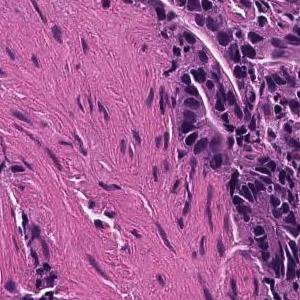
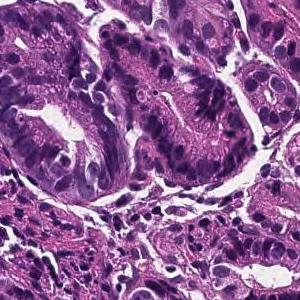
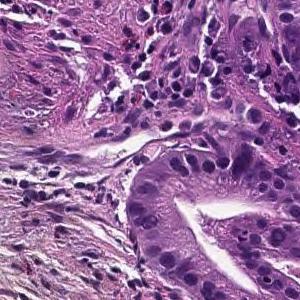
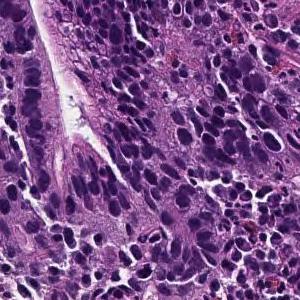
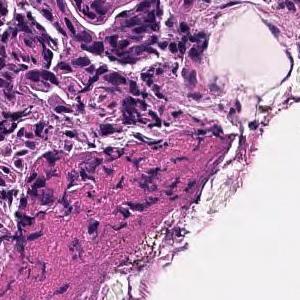
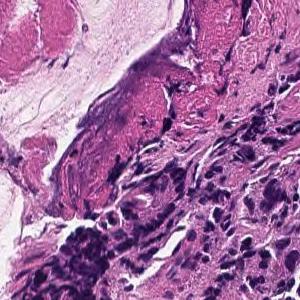
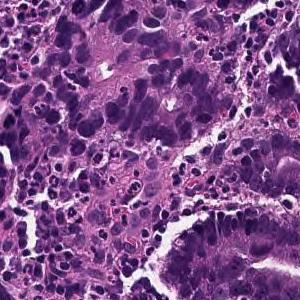
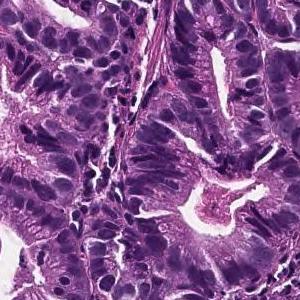
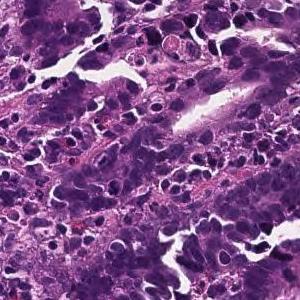
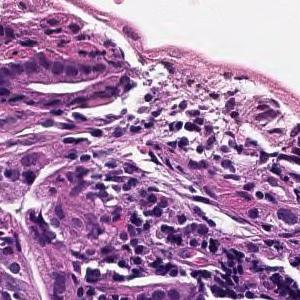
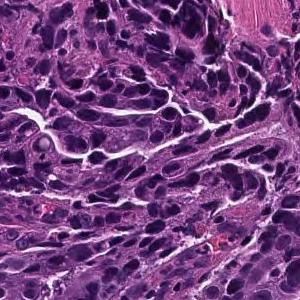
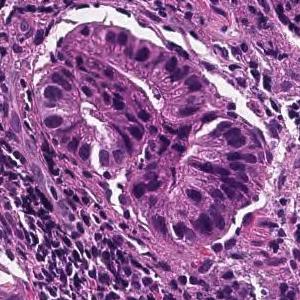
12 patches cut from one gastric biopsy slide, hematoxylin and eosin stain.
The pathologist's report on the biopsy slide these tiles were taken from. The report and the diagnosis cover the entire slide, so not every feature they name need be visible here, and some tissue shown may not be tumor.
On the superficial epithelium, tumor tissue consisting of large irregular glandular ducts partially fused and infiltrated is observed. Well to moderately differentiated tubular adenocarcinoma (well differentiated tubular adenocarcinoma, moderately differentiated tubular adenocarcinoma)
Histological subtype: Well to moderately differentiated tubular adenocarcinoma.
